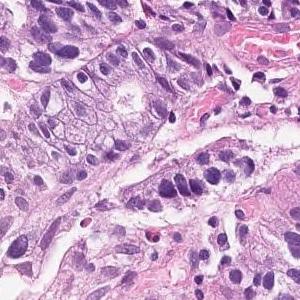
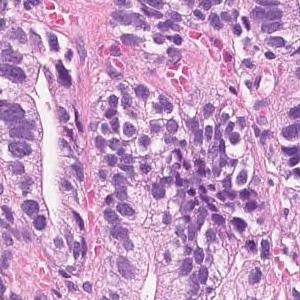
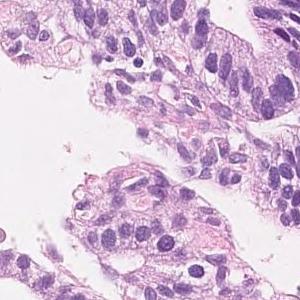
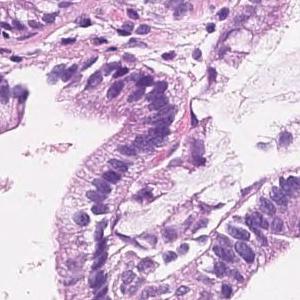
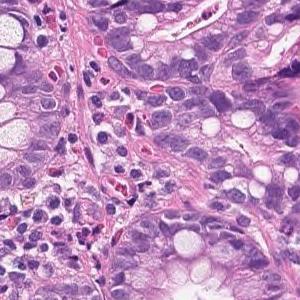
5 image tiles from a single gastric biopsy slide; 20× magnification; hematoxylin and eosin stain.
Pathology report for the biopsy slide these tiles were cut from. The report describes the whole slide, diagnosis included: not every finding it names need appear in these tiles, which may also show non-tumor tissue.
On the superficial epithelium, there is a tumor tissue consisting of medium to small, irregular tubules that are partially fused and proliferated. Well to moderately differentiated tubular adenocarcinoma
